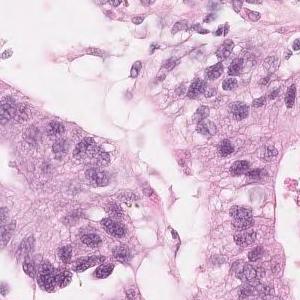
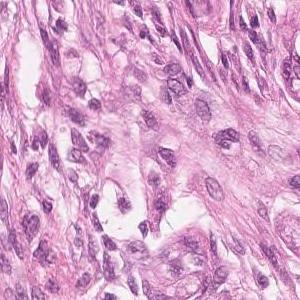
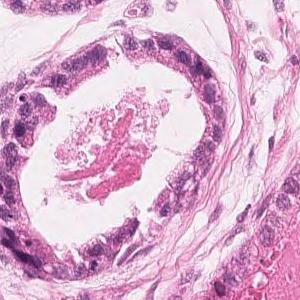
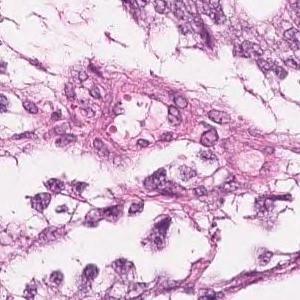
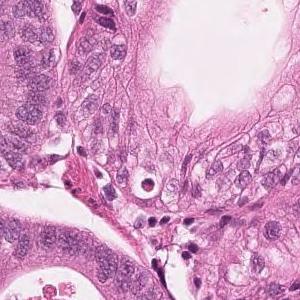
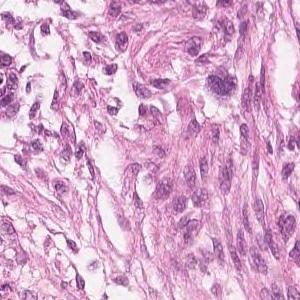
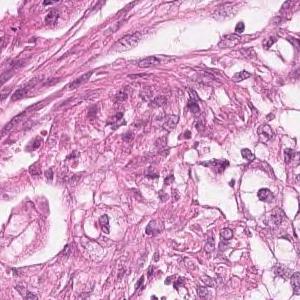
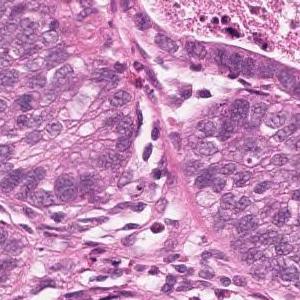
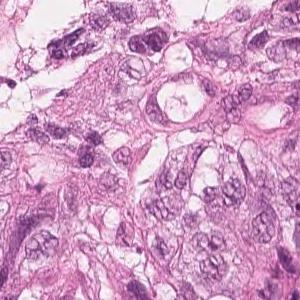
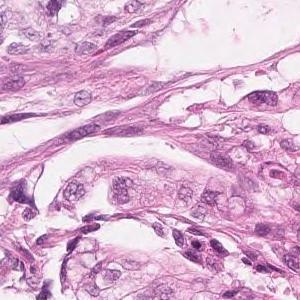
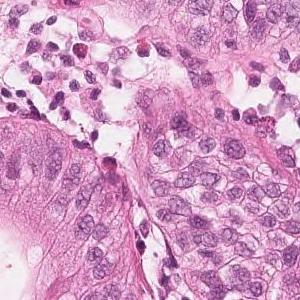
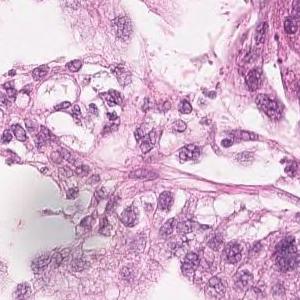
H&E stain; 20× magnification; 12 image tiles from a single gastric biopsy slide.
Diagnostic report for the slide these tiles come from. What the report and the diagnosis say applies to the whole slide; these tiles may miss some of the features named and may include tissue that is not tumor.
Highly columnar epithelium with disordered nuclear localization proliferates showing fusion ductal construction. moderately differentiated tubular adenocarcinoma
